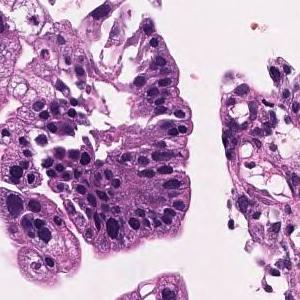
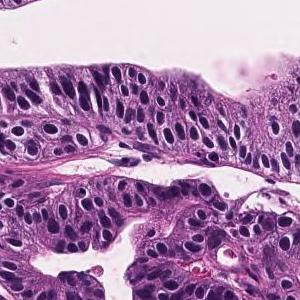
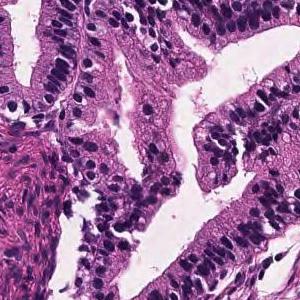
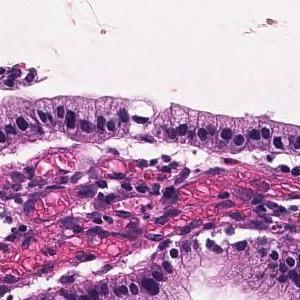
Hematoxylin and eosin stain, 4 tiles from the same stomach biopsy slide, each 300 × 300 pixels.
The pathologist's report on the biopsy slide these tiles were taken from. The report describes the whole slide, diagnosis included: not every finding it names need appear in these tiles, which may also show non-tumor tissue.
Tumor tissue consisting of large papillary structures or irregular glandular ducts partially fused and infiltrated is observed in the superficial epithelium. Well to moderately differentiated tubular adenocarcinoma.
The dataset labels this slide moderately differentiated tubular adenocarcinoma.
